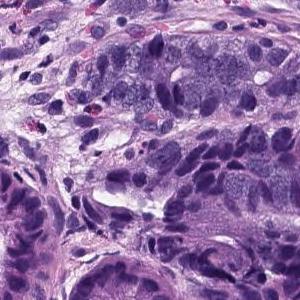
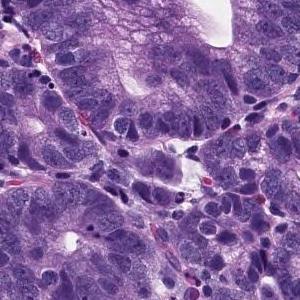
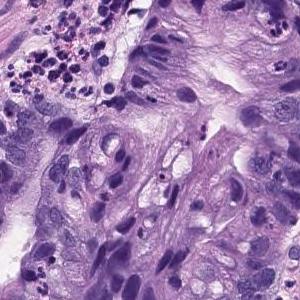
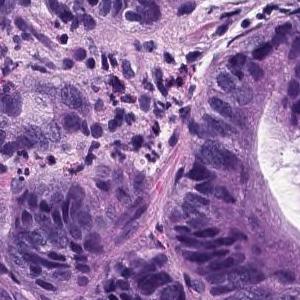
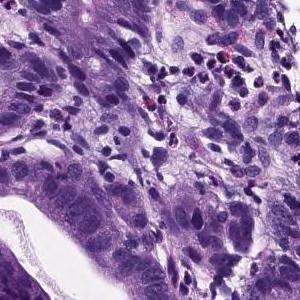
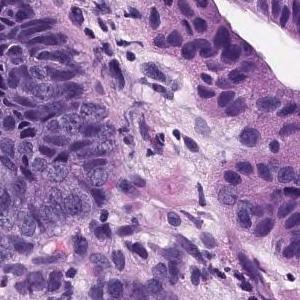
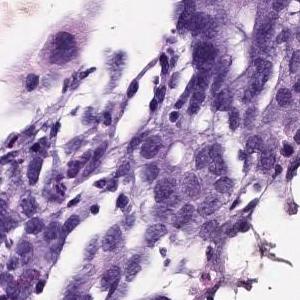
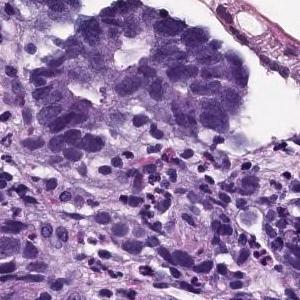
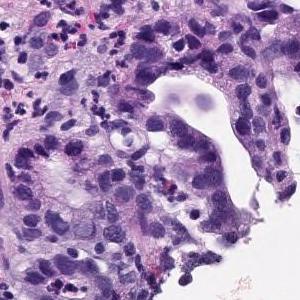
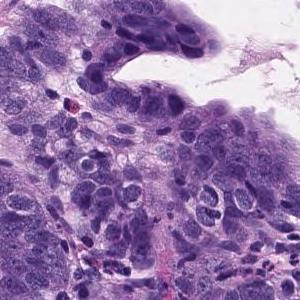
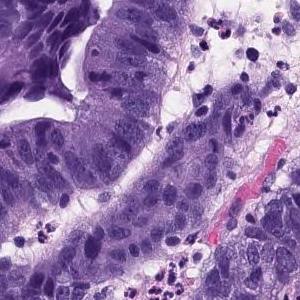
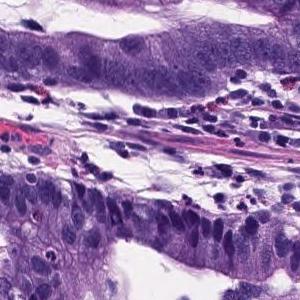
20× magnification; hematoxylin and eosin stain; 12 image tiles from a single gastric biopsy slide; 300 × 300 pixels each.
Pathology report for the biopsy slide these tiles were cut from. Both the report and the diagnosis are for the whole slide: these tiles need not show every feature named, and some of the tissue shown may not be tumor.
Tumor tissue consisting of large papillary structures is found in the superficial epithelium. Papillary adenocarcinoma.
